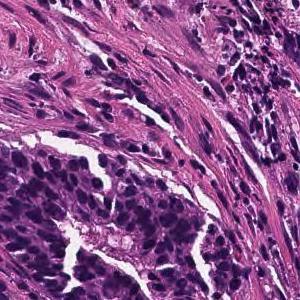
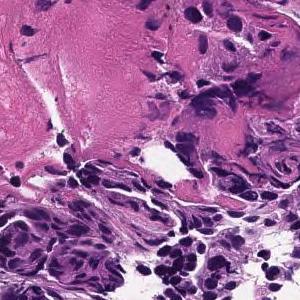
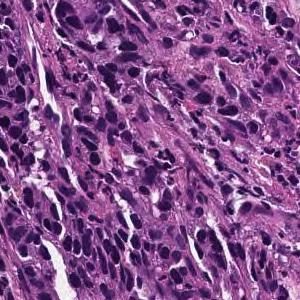
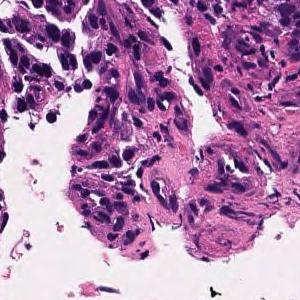
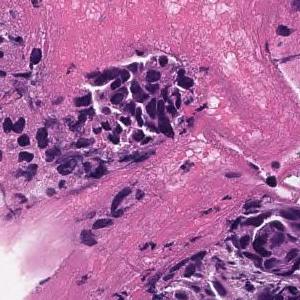
H&E, scanned at ×20, 5 patches cut from one gastric biopsy slide.
Pathology report for the biopsy slide these tiles were cut from. Both the report and the diagnosis are for the whole slide: these tiles need not show every feature named, and some of the tissue shown may not be tumor.
In the superficial epithelium, tumor tissue that invades by forming medium-sized to small, irregular ducts is observed. moderately differentiated tubular adenocarcinoma.
